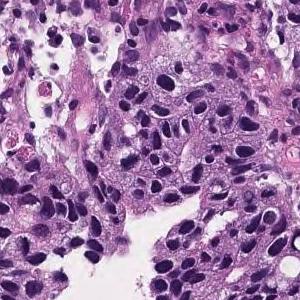
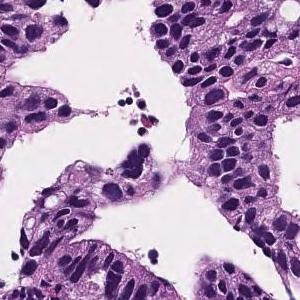
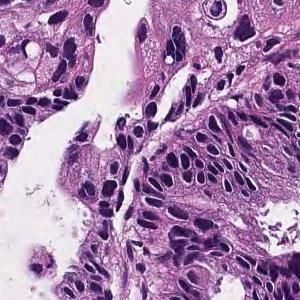
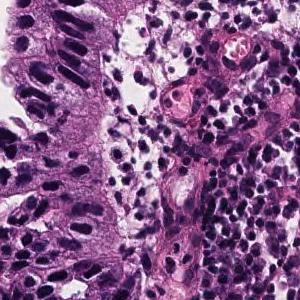
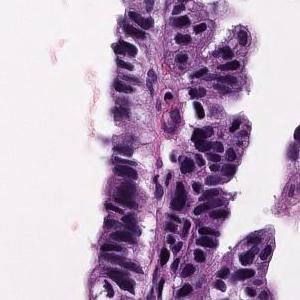
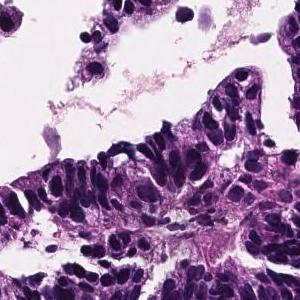
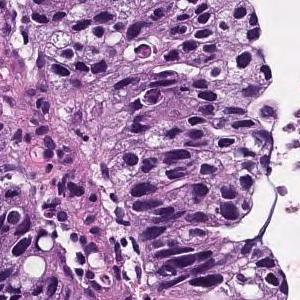
7 tiles from the same stomach biopsy slide, H&E stain.
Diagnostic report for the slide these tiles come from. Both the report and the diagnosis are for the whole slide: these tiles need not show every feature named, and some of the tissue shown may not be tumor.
Tumor cells are large, highly columnar, large club-shaped nuclei, and are associated with chromatin aggregation. Papillary adenocarcinoma.
